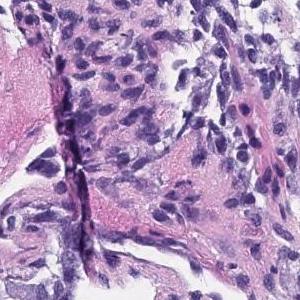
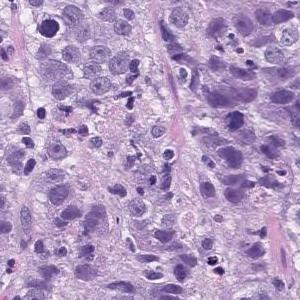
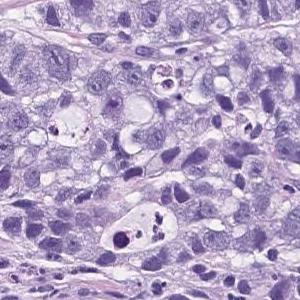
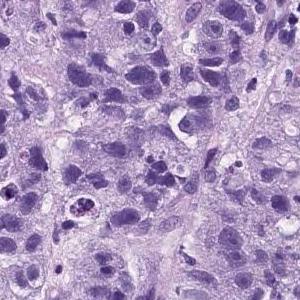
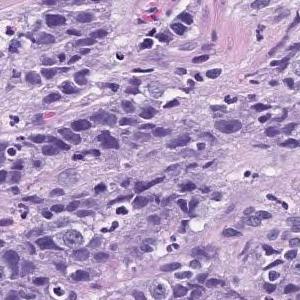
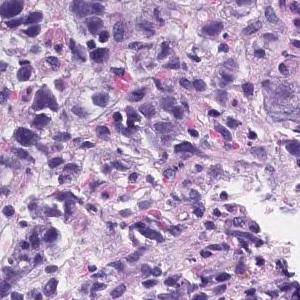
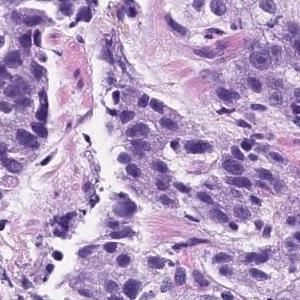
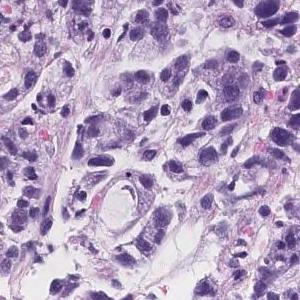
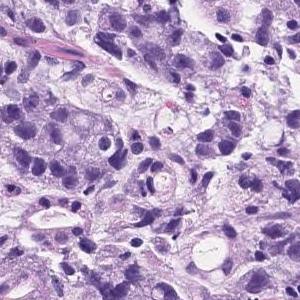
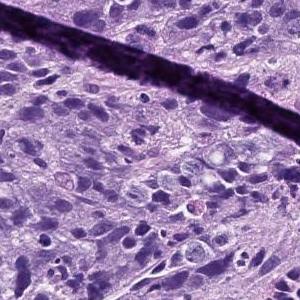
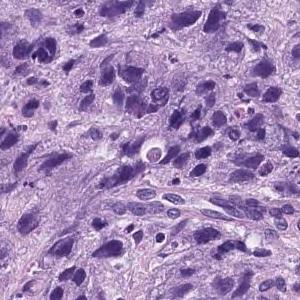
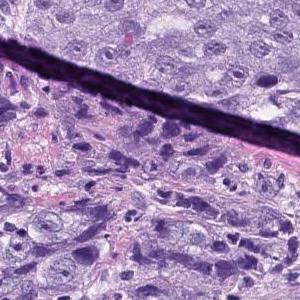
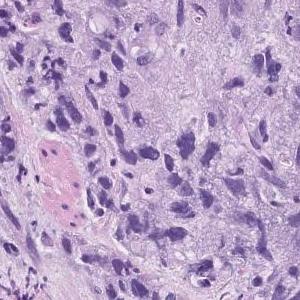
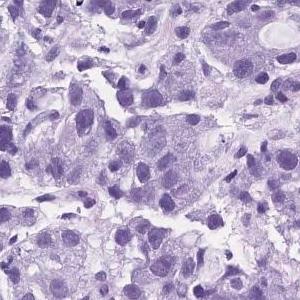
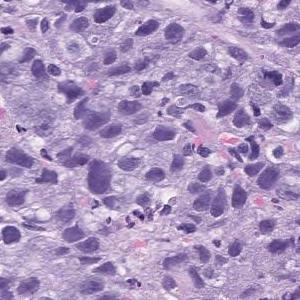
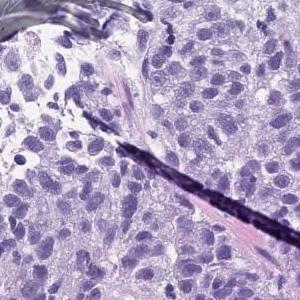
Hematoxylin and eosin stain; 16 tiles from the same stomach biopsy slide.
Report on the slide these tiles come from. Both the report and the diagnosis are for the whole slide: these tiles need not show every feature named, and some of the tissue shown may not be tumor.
Atypical l cells with atypical nuclei forming solid vesicles or small irregular atypical ducts that proliferate in a complex manner. poorly differentiated adenocarcinoma, solid type, moderately differentiated tubular adenocarcinoma
The term "solid type" comes from the Japanese Classification of Gastric Carcinoma; the WHO 2019 equivalent is tubular adenocarcinoma, poorly differentiated.
